9 tiles cut from one stomach biopsy slide · 300×300 px each · hematoxylin and eosin stain · 20× magnification.
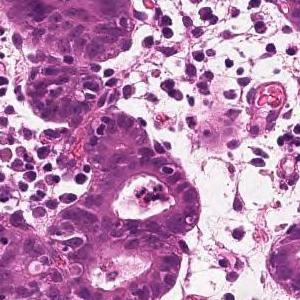
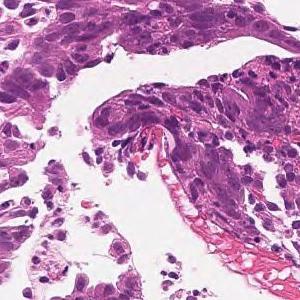
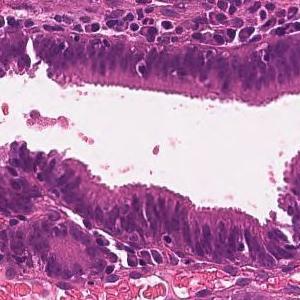
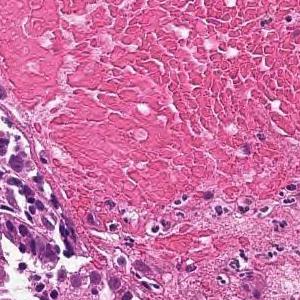
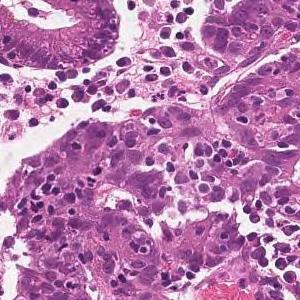
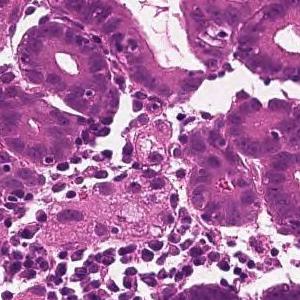
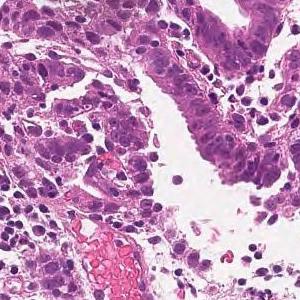
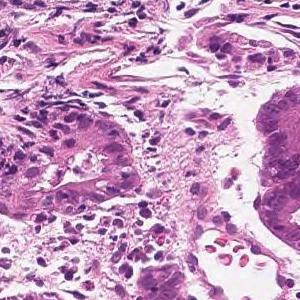
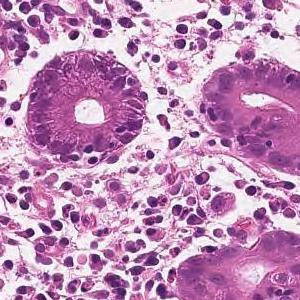
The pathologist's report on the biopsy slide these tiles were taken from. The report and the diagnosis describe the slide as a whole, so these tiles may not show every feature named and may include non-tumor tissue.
On the superficial epithelium, tumor tissue is found in which medium-sized irregular gland ducts fuse with each other and infiltrate. moderately differentiated tubular adenocarcinoma
